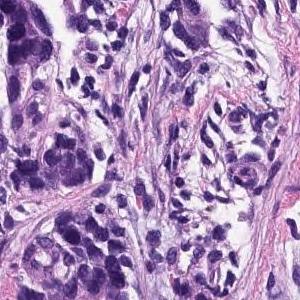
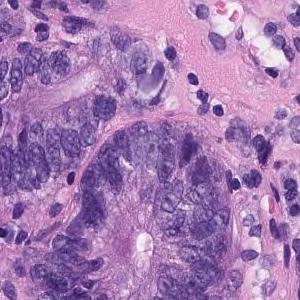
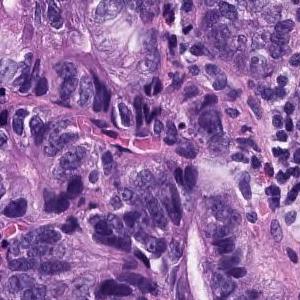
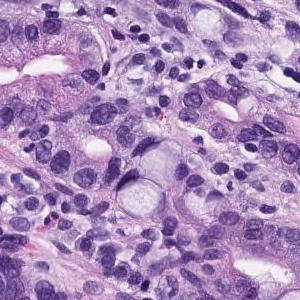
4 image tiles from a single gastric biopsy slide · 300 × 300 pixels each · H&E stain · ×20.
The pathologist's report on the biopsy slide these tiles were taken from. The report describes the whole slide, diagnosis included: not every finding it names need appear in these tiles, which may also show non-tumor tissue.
On the superficial epithelium, tumor tissue consisting of images showing invasive growth with small, irregular tubules partially fused is observed. moderately differentiated tubular adenocarcinoma
